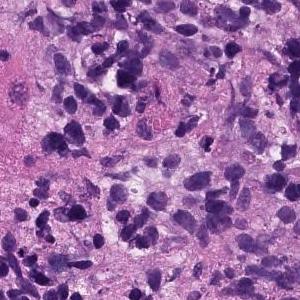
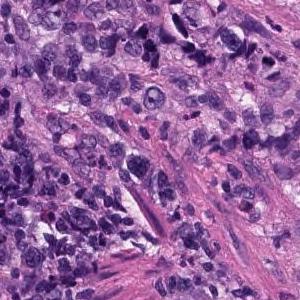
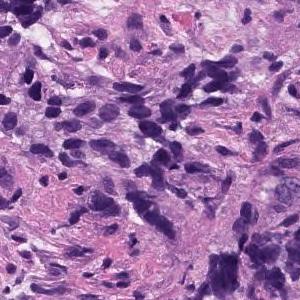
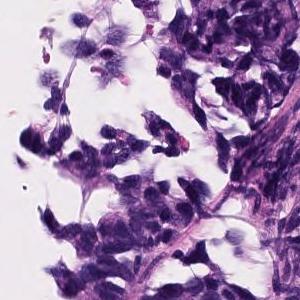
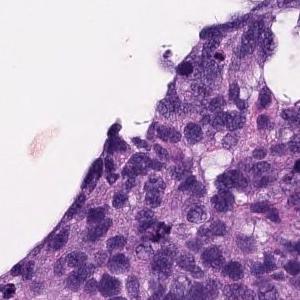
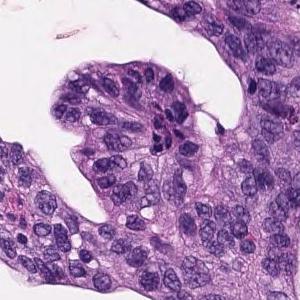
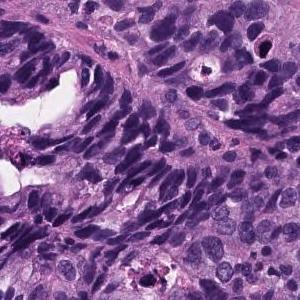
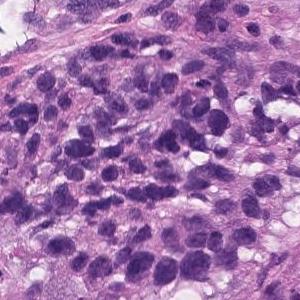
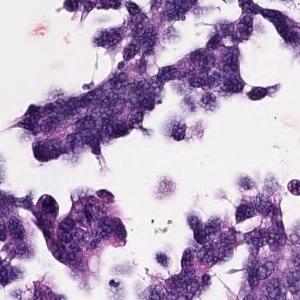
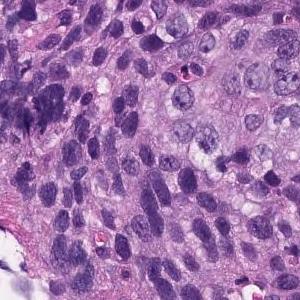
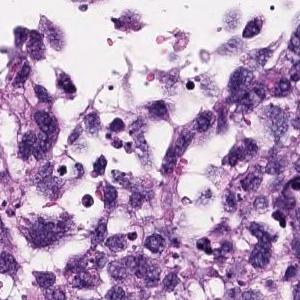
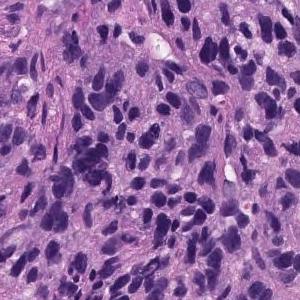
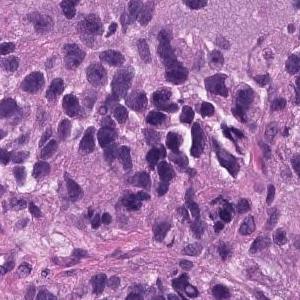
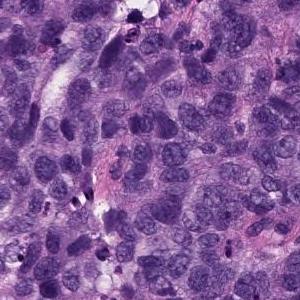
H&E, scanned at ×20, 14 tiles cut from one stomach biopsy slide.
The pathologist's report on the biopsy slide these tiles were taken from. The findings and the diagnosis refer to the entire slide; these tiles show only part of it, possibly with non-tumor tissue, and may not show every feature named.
Atypical l cells with atypical nuclei under the mucosa growing in isolation and scattered. Poorly differentiated adenocarcinoma (poorly differentiated adenocarcinoma, non-solid type)
Histologic type: Poorly differentiated adenocarcinoma, non-solid type.
The non-solid type named here is a Japanese Classification of Gastric Carcinoma category.
